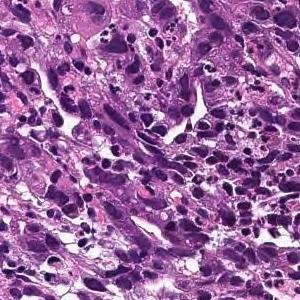
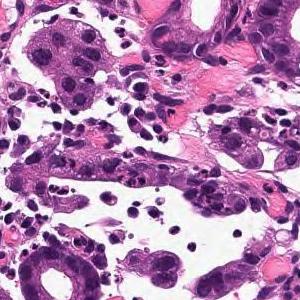
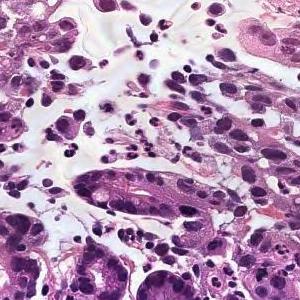
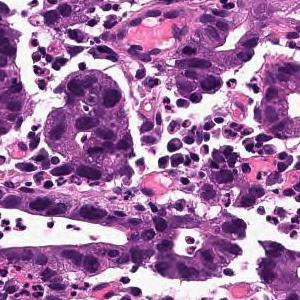
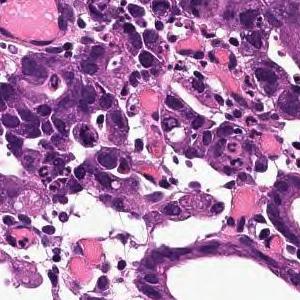
5 tiles cut from one stomach biopsy slide; 300×300 px each; H&E stain; 20× magnification.
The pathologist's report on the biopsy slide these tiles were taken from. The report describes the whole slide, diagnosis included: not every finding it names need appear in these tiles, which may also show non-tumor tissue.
On the superficial epithelium, a tumor tissue consisting of a large, irregular glandular duct partially fused and infiltrating with a small alveolar shape is observed. Well or moderately differentiated tubular adenocarcinoma (well differentiated tubular adenocarcinoma, moderately differentiated tubular adenocarcinoma)
Histologic type: Well to moderately differentiated tubular adenocarcinoma.
